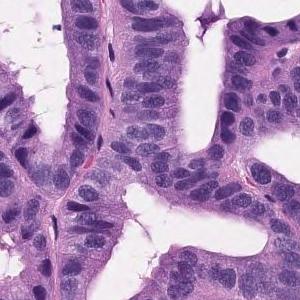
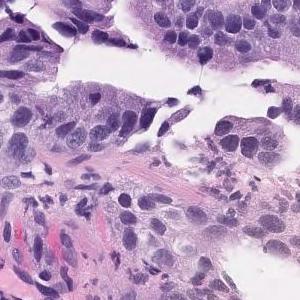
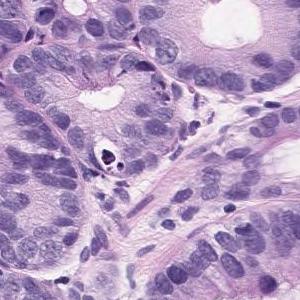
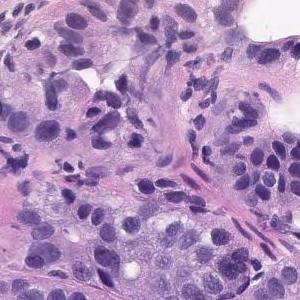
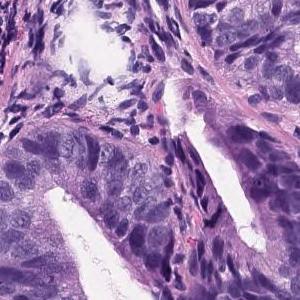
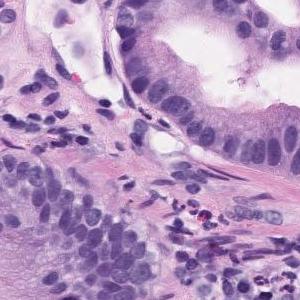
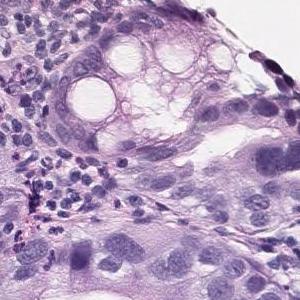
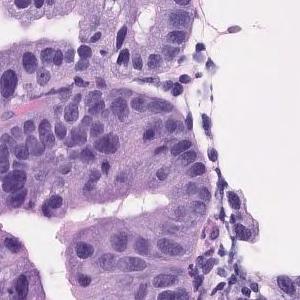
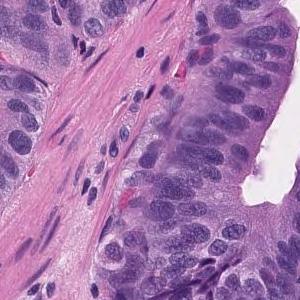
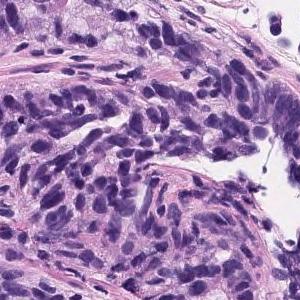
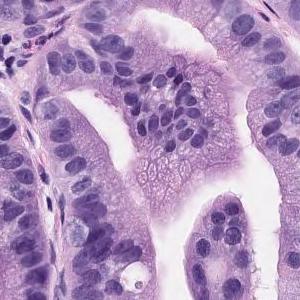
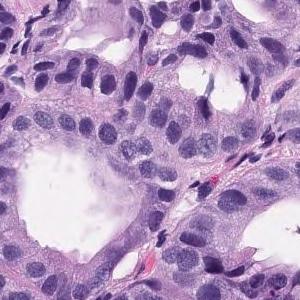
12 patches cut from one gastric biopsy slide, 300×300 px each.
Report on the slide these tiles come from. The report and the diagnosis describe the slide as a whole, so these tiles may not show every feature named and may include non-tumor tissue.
Tumor tissue consisting of medium-sized and irregular ducts is observed infiltrating in the superficial epithelium. Tumor cells are highly columnar, with nuclei aligned basolaterally and polarized. Well differentiated tubular adenocarcinoma.
